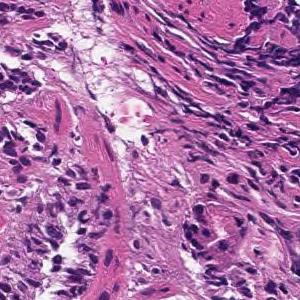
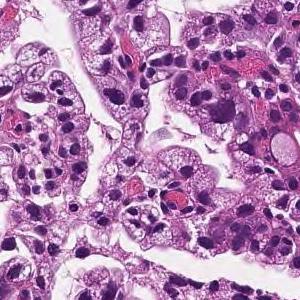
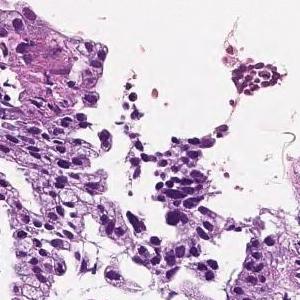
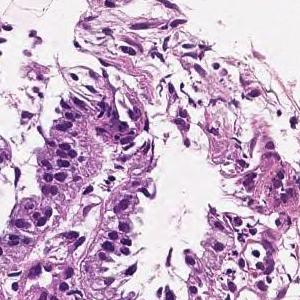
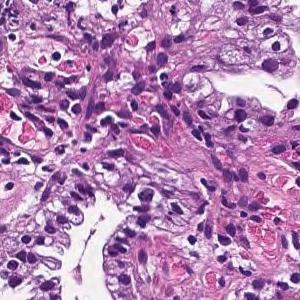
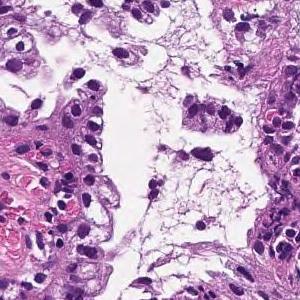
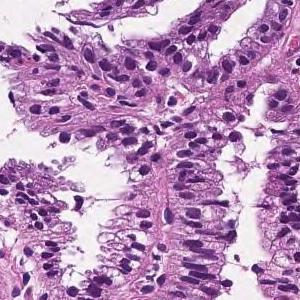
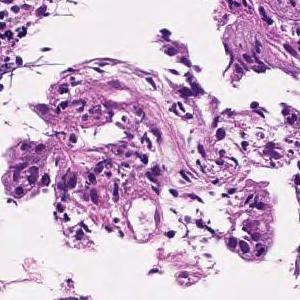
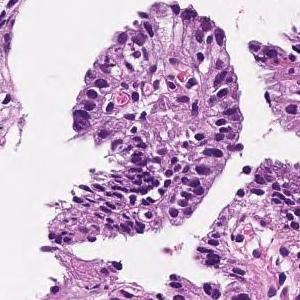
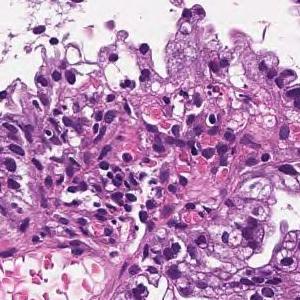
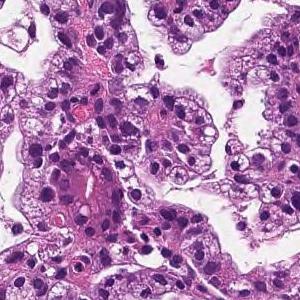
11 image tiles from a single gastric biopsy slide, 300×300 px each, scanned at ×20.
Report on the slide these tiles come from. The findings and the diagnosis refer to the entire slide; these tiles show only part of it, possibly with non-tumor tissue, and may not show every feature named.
On the superficial epithelium, tumor tissue that infiltrates by forming medium-sized papillary or small irregular ducts is observed. Papillary adenocarcinoma
